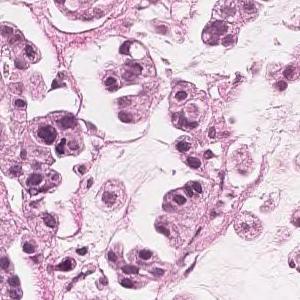
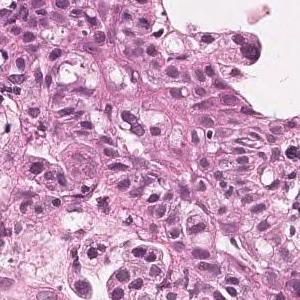
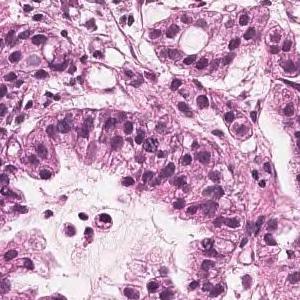
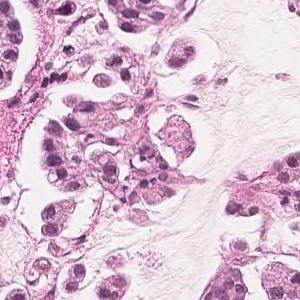
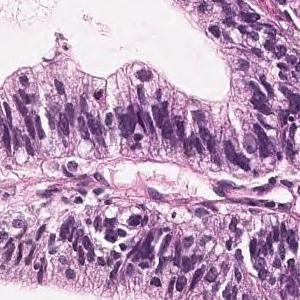
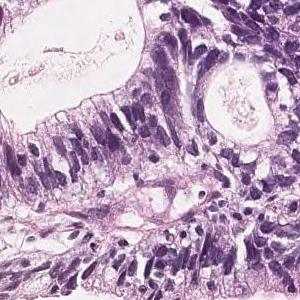
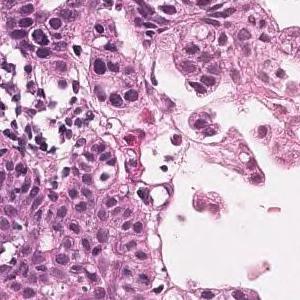
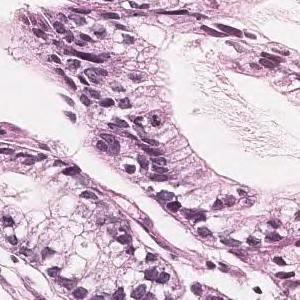
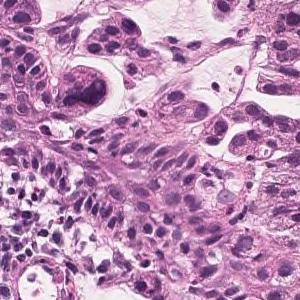
Scanned at ×20, H&E, 9 tiles cut from one stomach biopsy slide, 300×300 px each.
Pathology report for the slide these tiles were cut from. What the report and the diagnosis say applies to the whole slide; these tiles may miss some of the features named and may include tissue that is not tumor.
Tumor cells are large, highly columnar, large club-shaped nuclei, and are associated with chromatin aggregation. Papillary adenocarcinoma.
